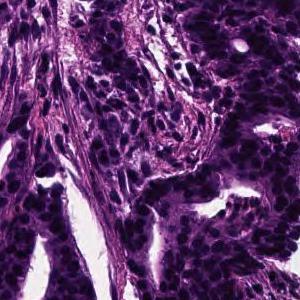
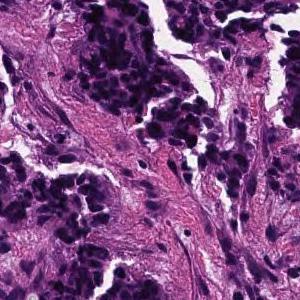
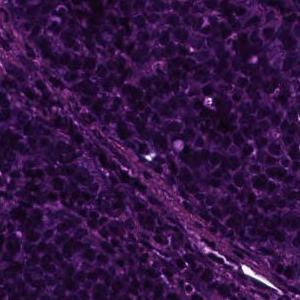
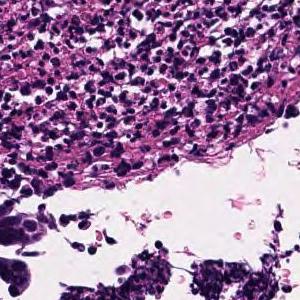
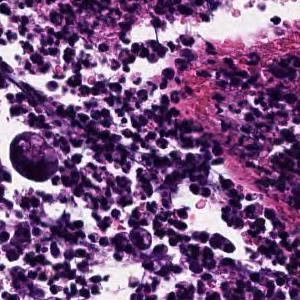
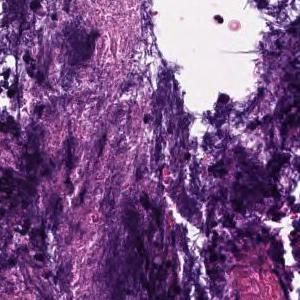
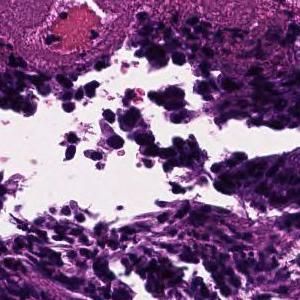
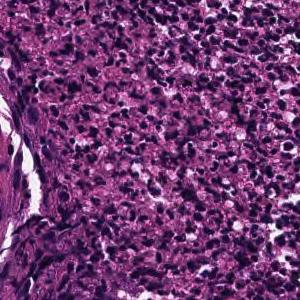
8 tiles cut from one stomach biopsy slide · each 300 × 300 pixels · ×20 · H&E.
Diagnostic report for the slide these tiles come from. The findings and the diagnosis refer to the entire slide; these tiles show only part of it, possibly with non-tumor tissue, and may not show every feature named.
In the superficial epithelium, tumor tissue that invades by forming medium-sized to small, irregular ducts is observed. moderately differentiated tubular adenocarcinoma.
